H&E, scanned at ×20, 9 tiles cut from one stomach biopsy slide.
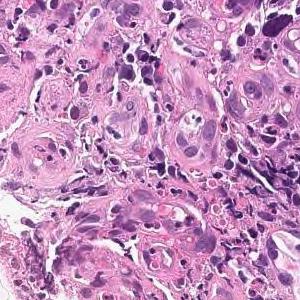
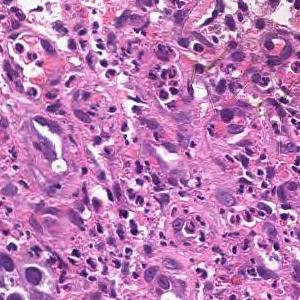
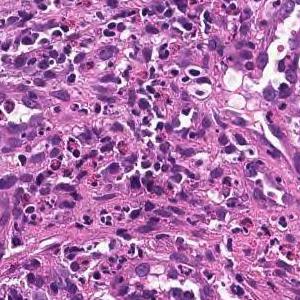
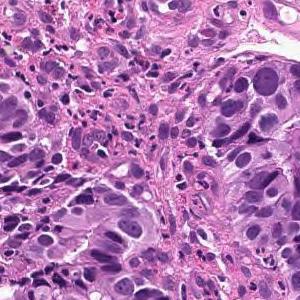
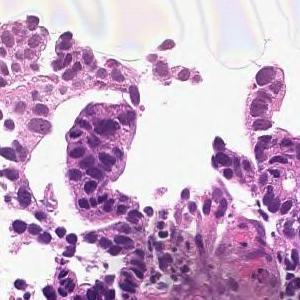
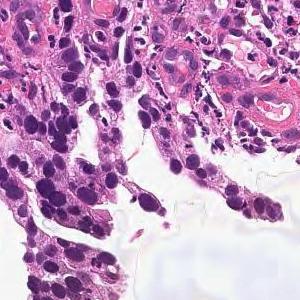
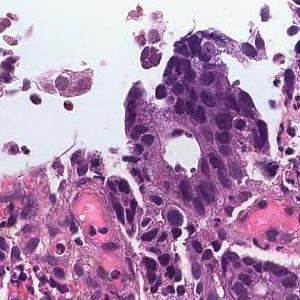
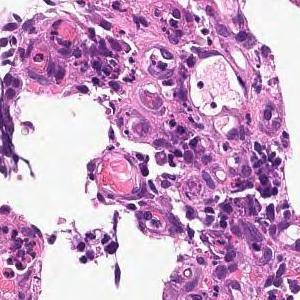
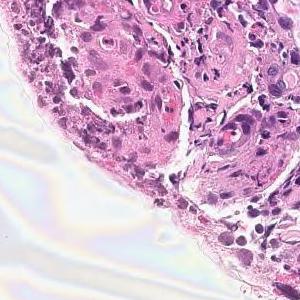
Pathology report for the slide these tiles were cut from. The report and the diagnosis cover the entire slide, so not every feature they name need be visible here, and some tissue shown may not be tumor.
On the superficial epithelium, tumor tissue consisting of large irregular glandular ducts partially fused and infiltrated is observed. Well to moderately differentiated tubular adenocarcinoma (well differentiated tubular adenocarcinoma, moderately differentiated tubular adenocarcinoma)
Histological subtype: Well to moderately differentiated tubular adenocarcinoma.
